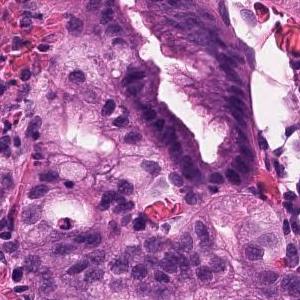
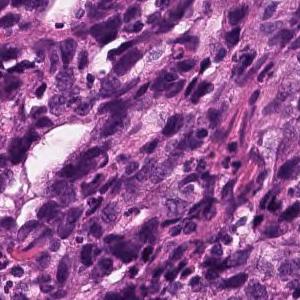
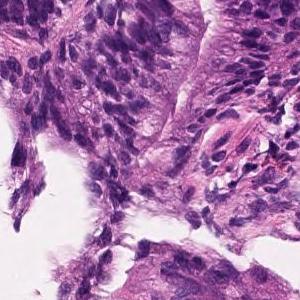
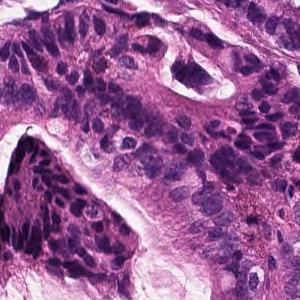
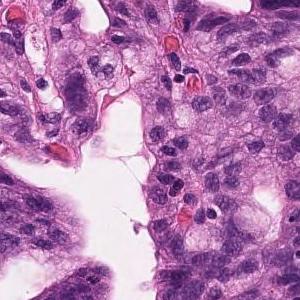
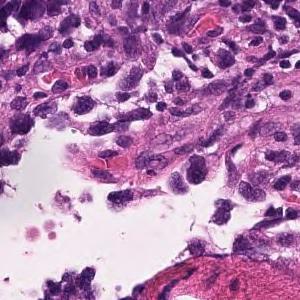
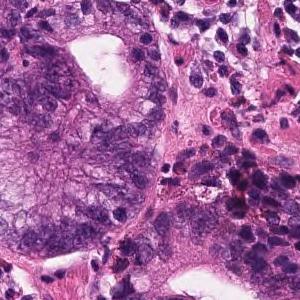
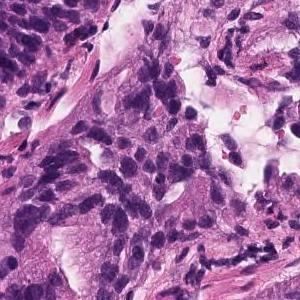
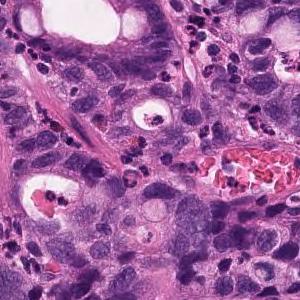
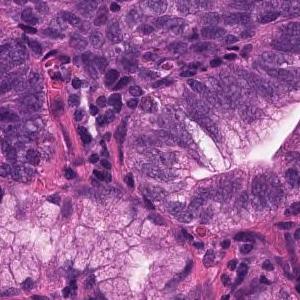
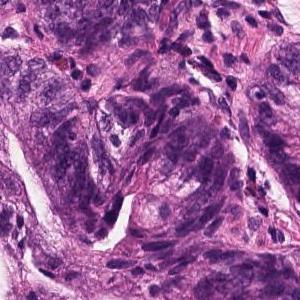
11 patches cut from one gastric biopsy slide; each 300 × 300 pixels; hematoxylin and eosin stain; ×20.
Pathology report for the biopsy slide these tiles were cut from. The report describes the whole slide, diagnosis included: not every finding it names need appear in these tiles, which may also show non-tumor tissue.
In the superficial epithelium, tumor tissue that invades by forming medium-sized to small, irregular ducts is observed. Moderately differentiated adenocarcinoma.
Histologic type: Moderately differentiated tubular adenocarcinoma.
